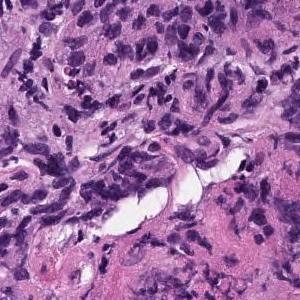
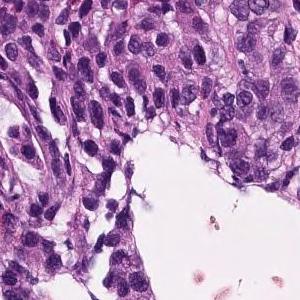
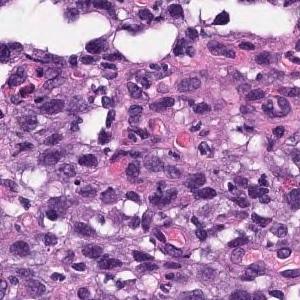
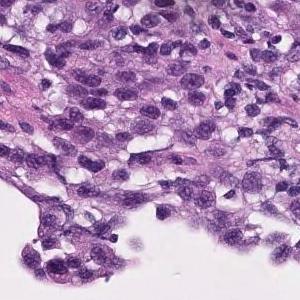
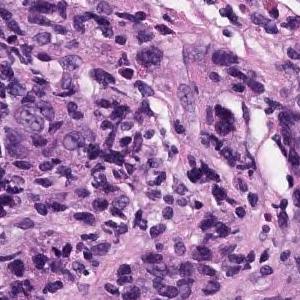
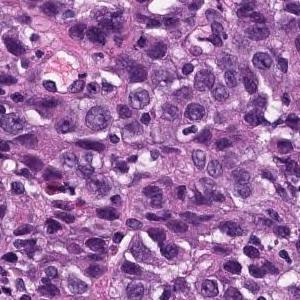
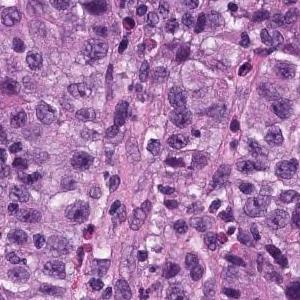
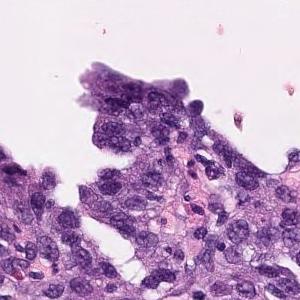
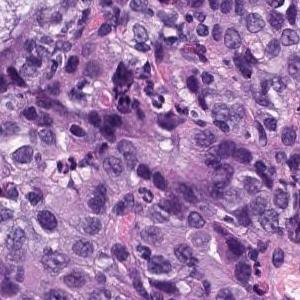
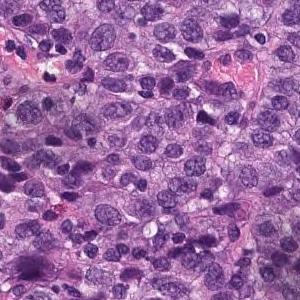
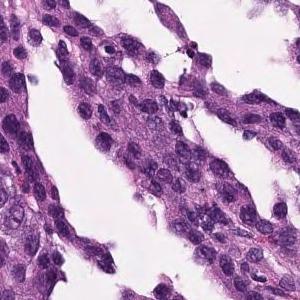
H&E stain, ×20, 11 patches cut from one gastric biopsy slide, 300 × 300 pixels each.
Pathology report for the slide these tiles were cut from. The report and the diagnosis describe the slide as a whole, so these tiles may not show every feature named and may include non-tumor tissue.
In the superficial epithelium, tumor tissue that invades by forming medium-sized to small, irregular ducts is observed. Moderately differentiated adenocarcinoma.
Classified as moderately differentiated tubular adenocarcinoma.
